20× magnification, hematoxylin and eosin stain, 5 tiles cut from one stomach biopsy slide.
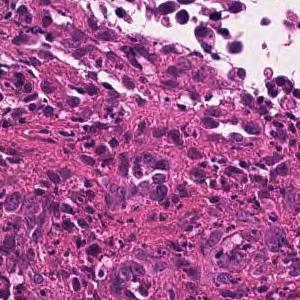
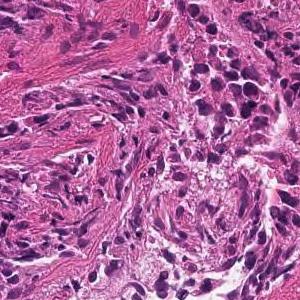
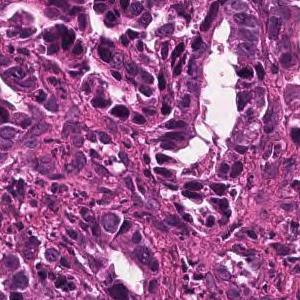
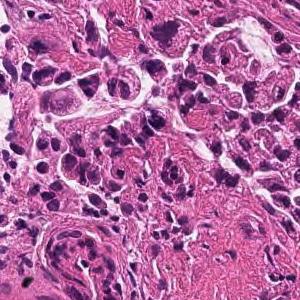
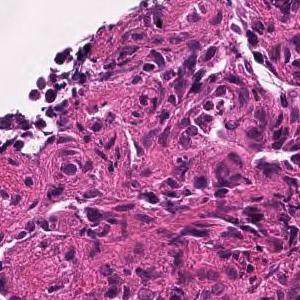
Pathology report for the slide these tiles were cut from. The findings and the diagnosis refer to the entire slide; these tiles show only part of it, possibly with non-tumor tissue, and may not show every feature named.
In the superficial epithelium, tumor tissue that invades by forming medium-sized to small, irregular ducts is observed. moderately differentiated tubular adenocarcinoma.
